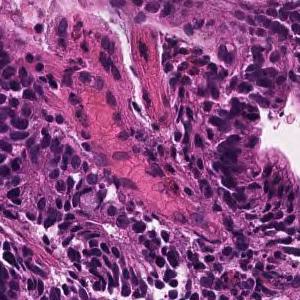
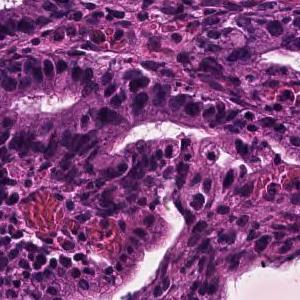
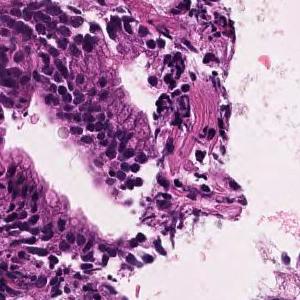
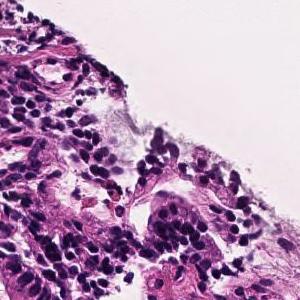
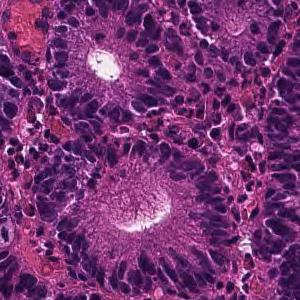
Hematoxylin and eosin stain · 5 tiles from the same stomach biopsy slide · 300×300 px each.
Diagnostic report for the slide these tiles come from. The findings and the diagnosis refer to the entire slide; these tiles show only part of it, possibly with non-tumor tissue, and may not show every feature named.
In the superficial epithelium, tumor tissue that invades by forming medium-sized to small, irregular ducts is observed. moderately differentiated tubular adenocarcinoma.
